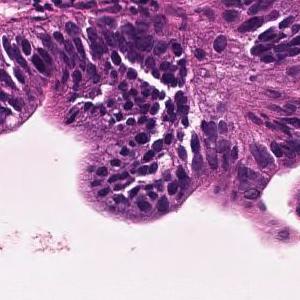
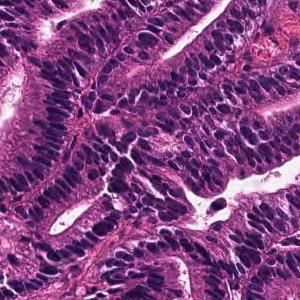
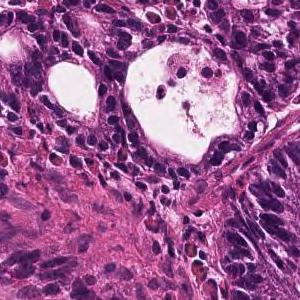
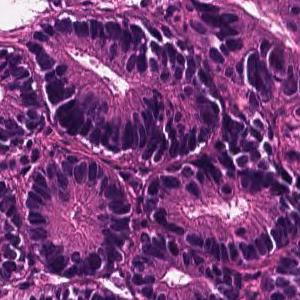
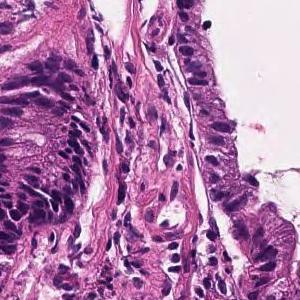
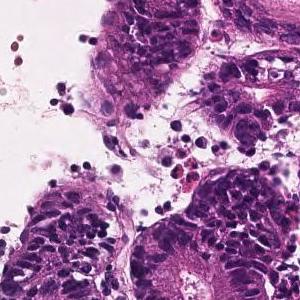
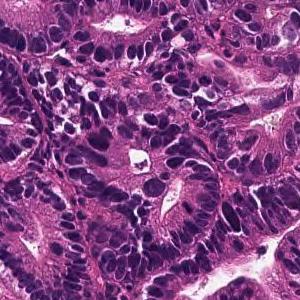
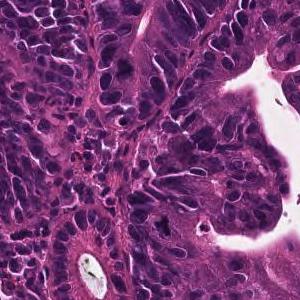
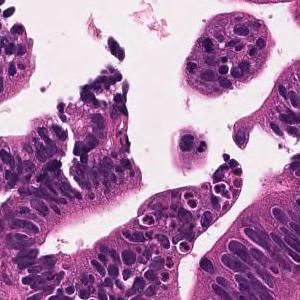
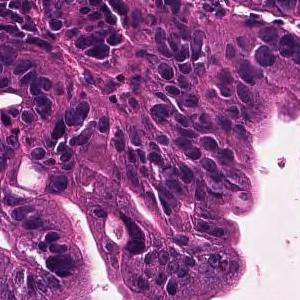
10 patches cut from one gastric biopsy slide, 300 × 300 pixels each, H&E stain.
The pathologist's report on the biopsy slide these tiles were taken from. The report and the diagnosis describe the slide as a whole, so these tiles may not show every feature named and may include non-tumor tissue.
A large irregular tubular structure is exhibited in the epithelium, and tumor tissue that partially fuses and infiltrates and proliferates is observed. Large columnar tumor cells exhibit enlarged nucleus, hyperchromatism, and mitotic figures. Well differentiated tubular adenocarcinoma
